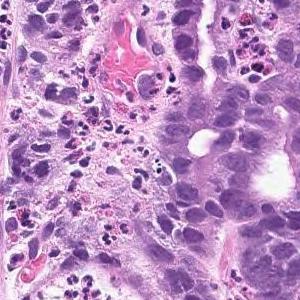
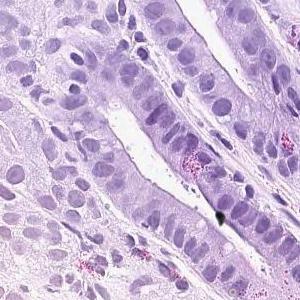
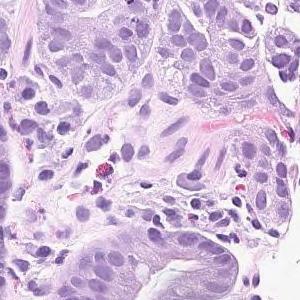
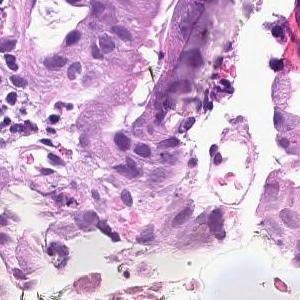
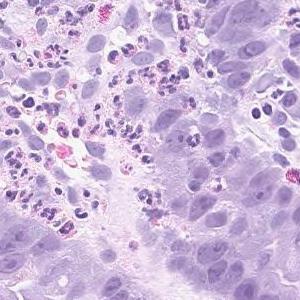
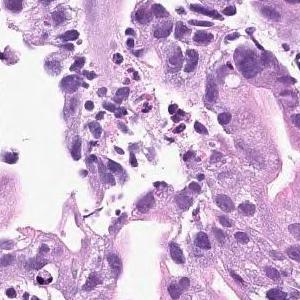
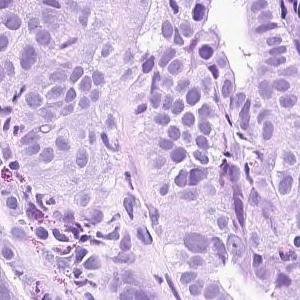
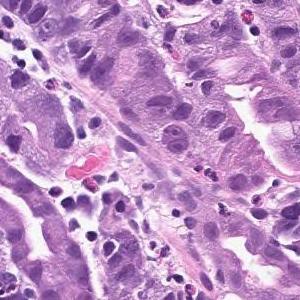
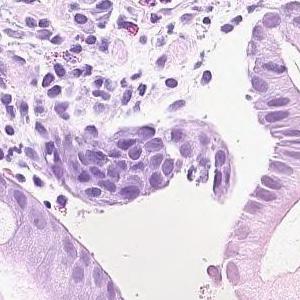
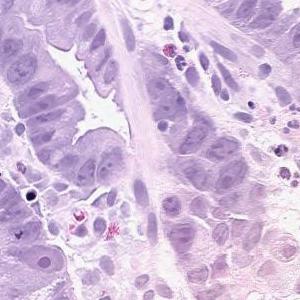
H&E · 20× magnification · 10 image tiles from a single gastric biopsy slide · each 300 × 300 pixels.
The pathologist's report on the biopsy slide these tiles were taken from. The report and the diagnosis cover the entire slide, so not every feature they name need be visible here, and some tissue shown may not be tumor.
Infiltrating tumor tissue is observed in the superficial epithelium, showing large papillary structures or large and small ducts. Papillary adenocarcinoma
